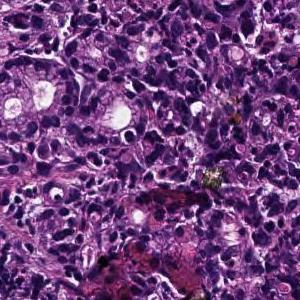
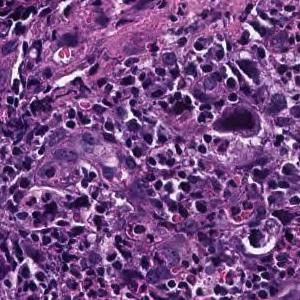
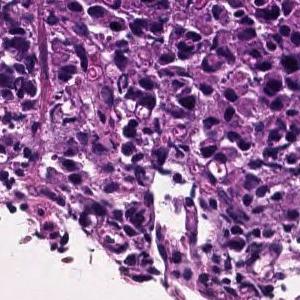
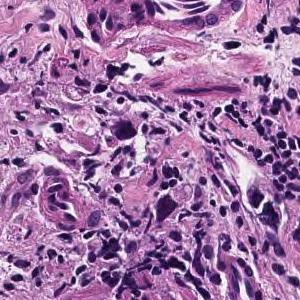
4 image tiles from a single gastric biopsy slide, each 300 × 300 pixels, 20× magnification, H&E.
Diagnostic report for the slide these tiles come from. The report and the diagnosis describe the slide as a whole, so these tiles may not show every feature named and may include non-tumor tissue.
The superficial epithelium shows a large sheet-like shape, and some tumor tissue infiltrates with small irregular ducts. Poorly differentiated adenocarcinoma, solid-type
Subtype: Poorly differentiated adenocarcinoma, solid type (Japanese Classification of Gastric Carcinoma). The WHO 2019 equivalent is tubular adenocarcinoma, poorly differentiated.
